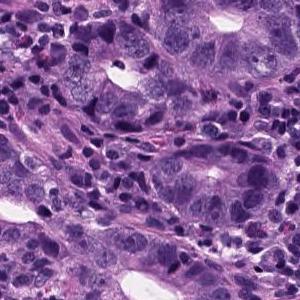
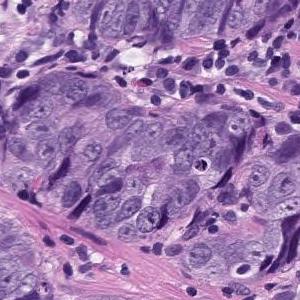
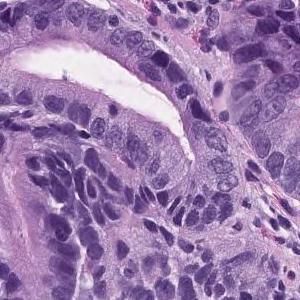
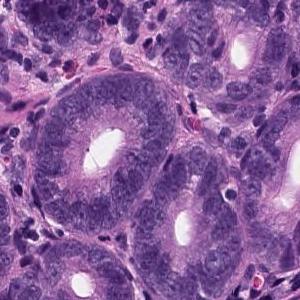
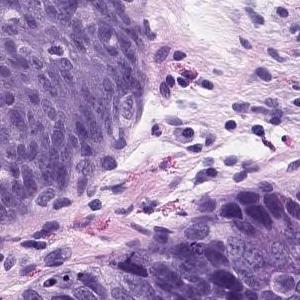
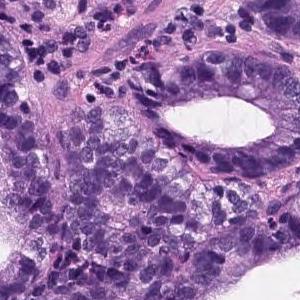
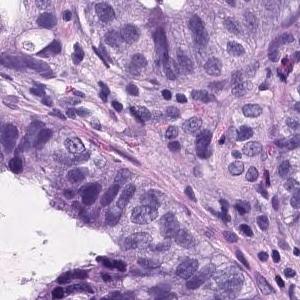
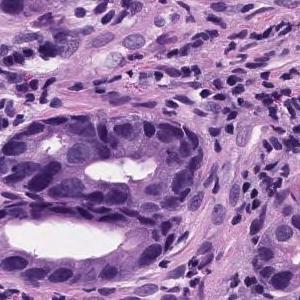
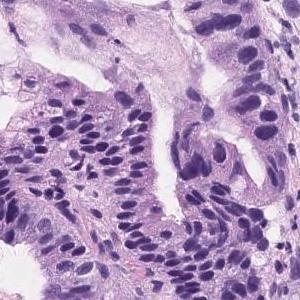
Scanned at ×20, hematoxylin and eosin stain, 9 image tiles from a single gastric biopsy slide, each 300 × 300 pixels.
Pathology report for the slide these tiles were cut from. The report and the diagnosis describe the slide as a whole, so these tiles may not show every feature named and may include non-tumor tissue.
Tumor tissue consisting of medium-sized and irregular ducts is observed infiltrating in the superficial epithelium. Tumor cells are highly columnar, with nuclei aligned basolaterally and polarized. Well differentiated tubular adenocarcinoma.
